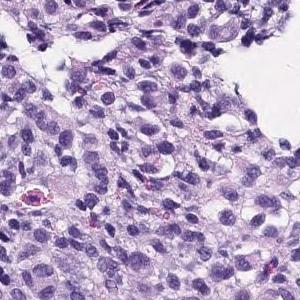
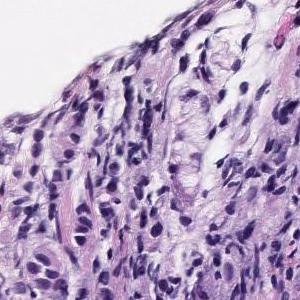
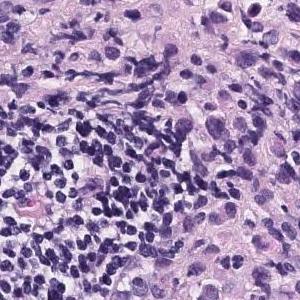
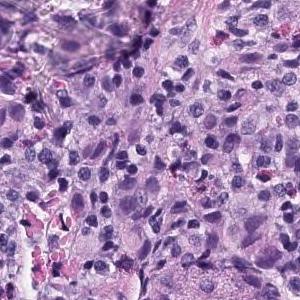
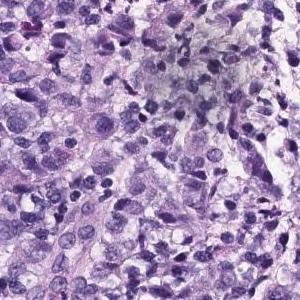
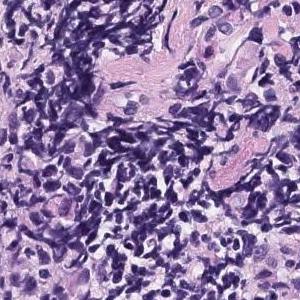
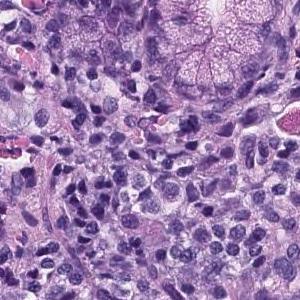
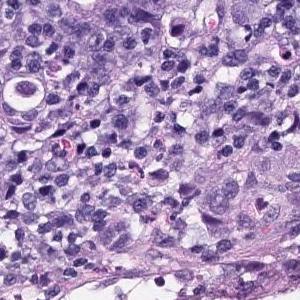
H&E stain; 20× magnification; 8 image tiles from a single gastric biopsy slide; 300 × 300 pixels each.
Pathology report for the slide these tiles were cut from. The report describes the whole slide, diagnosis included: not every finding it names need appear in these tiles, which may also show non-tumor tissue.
There are medium-sized atypical cells with marked nuclear swelling and increased N/C ratio, which grow into solid or isolated scattered cells. Poorly differentiated adenocarcinoma
Histologic type: Poorly differentiated adenocarcinoma, solid type (Japanese Classification of Gastric Carcinoma). The WHO 2019 equivalent is tubular adenocarcinoma, poorly differentiated.
